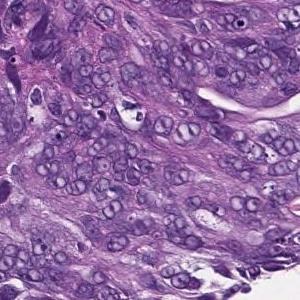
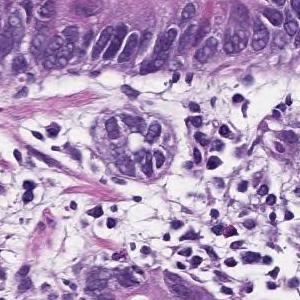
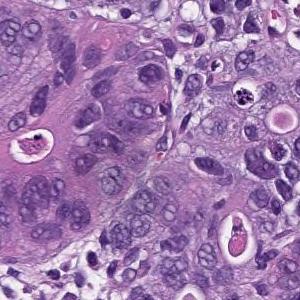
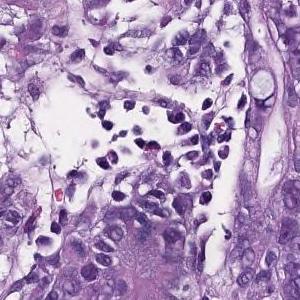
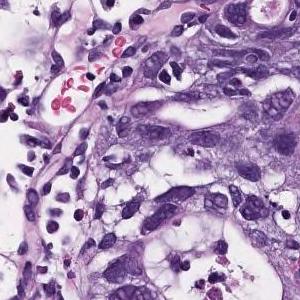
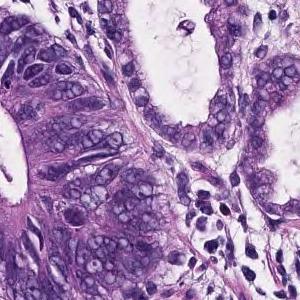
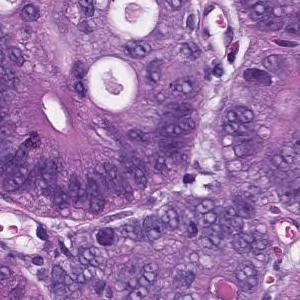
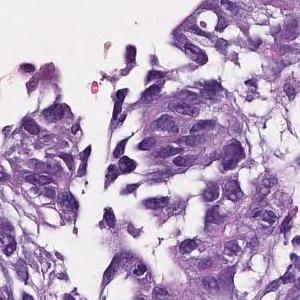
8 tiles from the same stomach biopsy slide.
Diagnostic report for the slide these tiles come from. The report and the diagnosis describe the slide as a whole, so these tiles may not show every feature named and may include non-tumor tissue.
In the superficial epithelium, tumor tissue that invades by forming medium-sized to small, irregular ducts is observed. moderately differentiated tubular adenocarcinoma.
